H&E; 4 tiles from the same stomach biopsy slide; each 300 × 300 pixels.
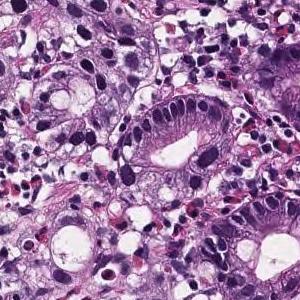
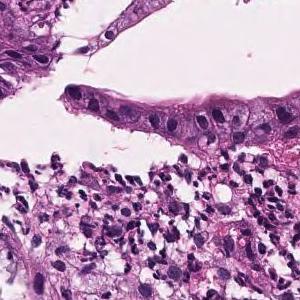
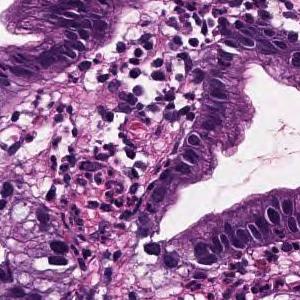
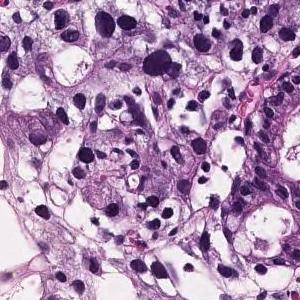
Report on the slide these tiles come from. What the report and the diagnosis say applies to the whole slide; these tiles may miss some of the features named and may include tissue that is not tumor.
In the superficial epithelium, medium to small irregular gland ducts are formed, and in some cases, the ducts are fused to show solid alveolar lesions and infiltrating tumor tissue is observed. Moderately to poorly differentiated adenocarcinoma
